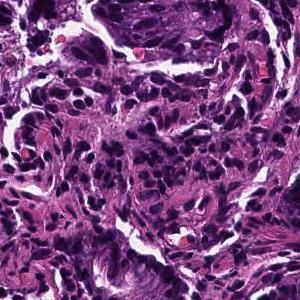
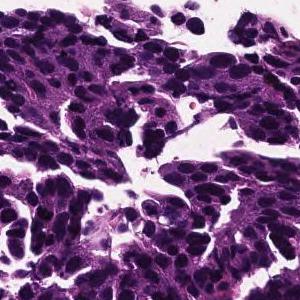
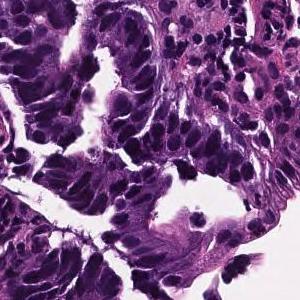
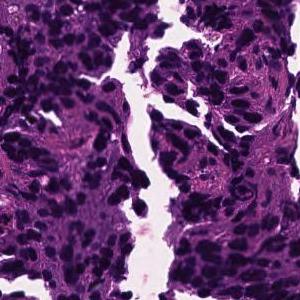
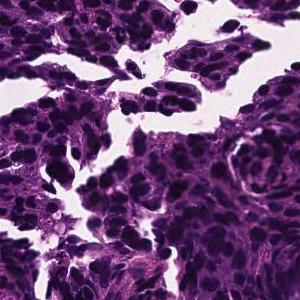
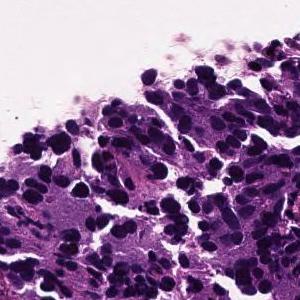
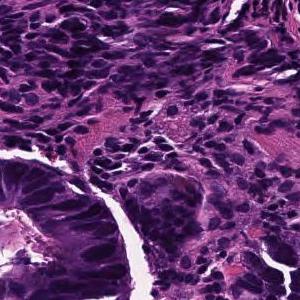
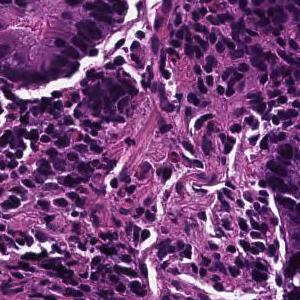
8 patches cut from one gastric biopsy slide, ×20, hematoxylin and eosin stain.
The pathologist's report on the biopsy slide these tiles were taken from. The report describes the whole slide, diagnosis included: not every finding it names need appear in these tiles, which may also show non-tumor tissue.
In the superficial epithelium, medium to small irregular gland ducts are formed, and in some cases, the ducts are fused to show solid alveolar lesions and infiltrating tumor tissue is observed. moderately differentiated tubular adenocarcinoma or poorly differentiated adenocarcinoma, solid-type (poorly differentiated adenocarcinoma, solid type)
Labeled in the dataset as poorly differentiated adenocarcinoma, solid type (Japanese Classification of Gastric Carcinoma). The WHO 2019 equivalent is tubular adenocarcinoma, poorly differentiated.
